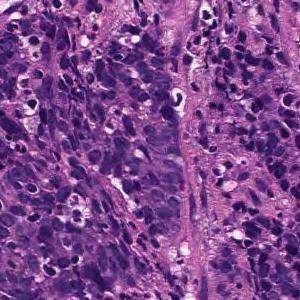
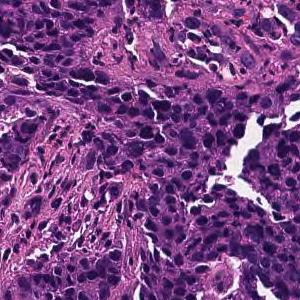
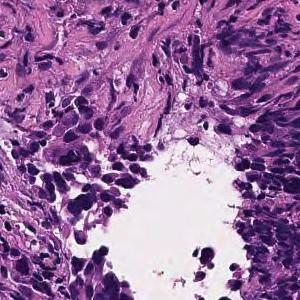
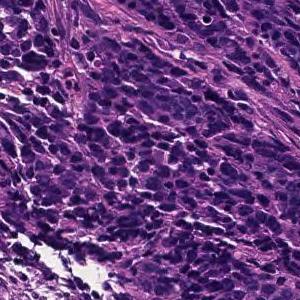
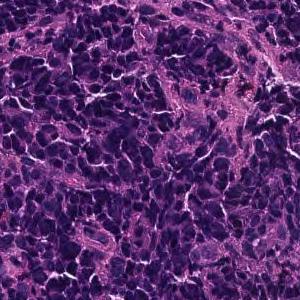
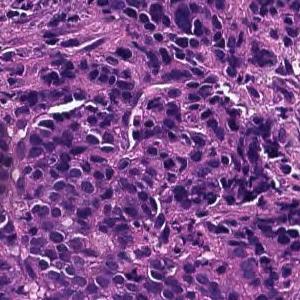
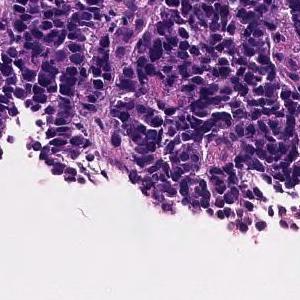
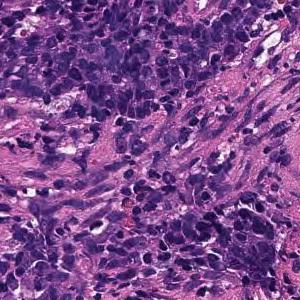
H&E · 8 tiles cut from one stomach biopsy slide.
Pathology report for the slide these tiles were cut from. What the report and the diagnosis say applies to the whole slide; these tiles may miss some of the features named and may include tissue that is not tumor.
Tumor tissue consisting of cord-like or small, irregular glandular ducts fused and infiltrated is observed in the superficial epithelium. Poorly differentiated adenocarcinoma, non-solid type
The term "non-solid type" comes from the Japanese Classification of Gastric Carcinoma.
